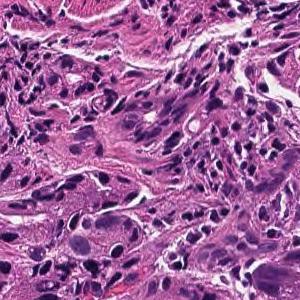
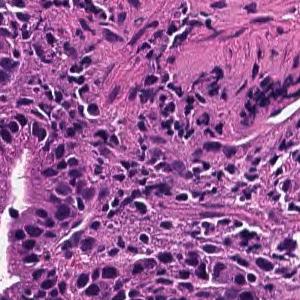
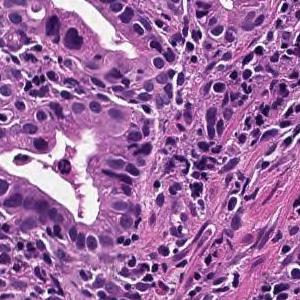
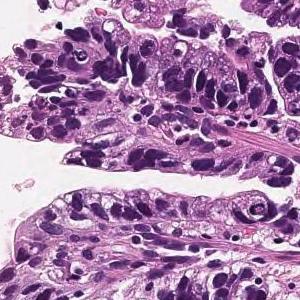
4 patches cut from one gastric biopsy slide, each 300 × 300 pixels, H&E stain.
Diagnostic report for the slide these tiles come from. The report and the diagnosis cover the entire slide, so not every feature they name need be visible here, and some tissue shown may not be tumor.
On the superficial epithelium, tumor tissue is found in which medium-sized irregular gland ducts fuse with each other and infiltrate. moderately differentiated tubular adenocarcinoma or Poorly differentiated adenocarcinoma, non-solid type
Tumor subtype: moderately to poorly differentiated adenocarcinoma.
The term "non-solid type" comes from the Japanese Classification of Gastric Carcinoma.
